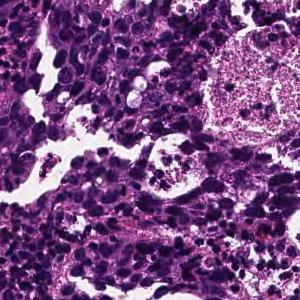
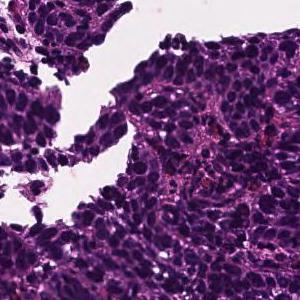
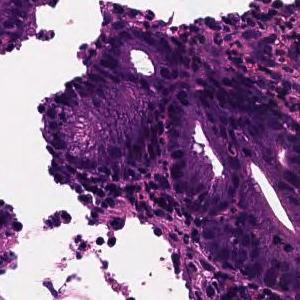
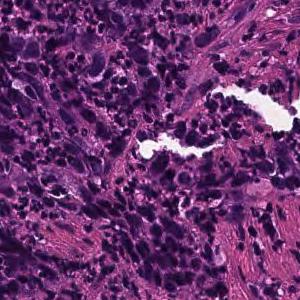
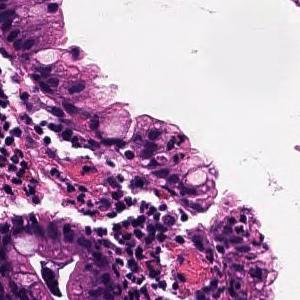
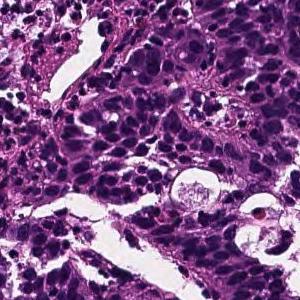
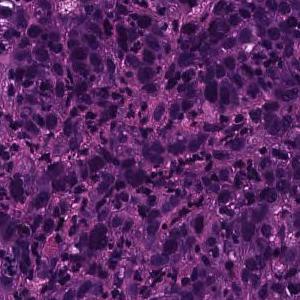
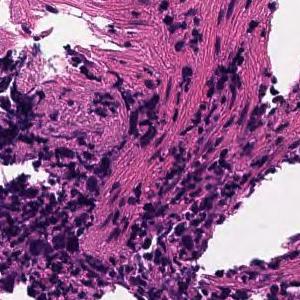
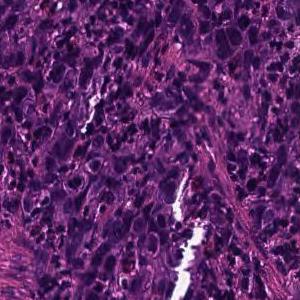
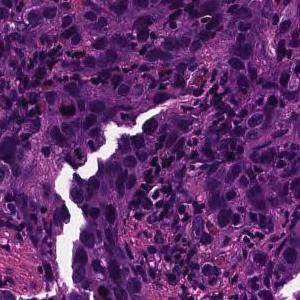
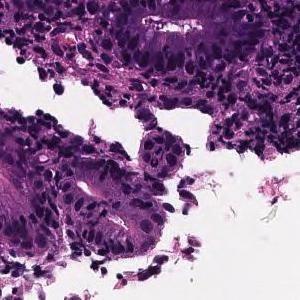
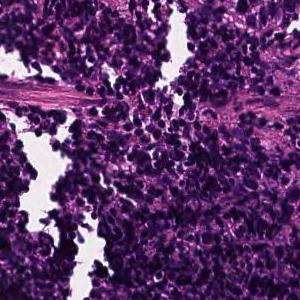
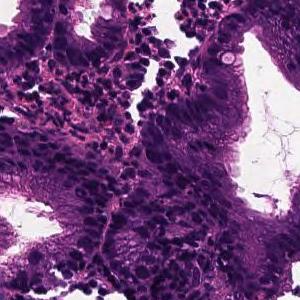
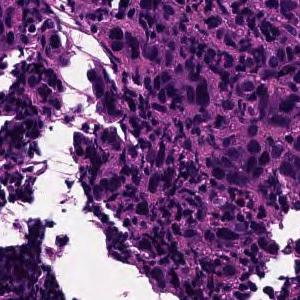
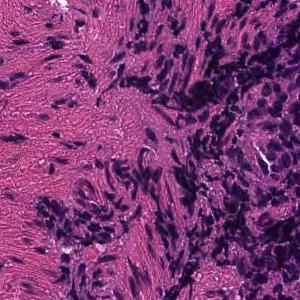
H&E stain, 15 image tiles from a single gastric biopsy slide, 300 × 300 pixels each.
Pathology report for the slide these tiles were cut from. The report describes the whole slide, diagnosis included: not every finding it names need appear in these tiles, which may also show non-tumor tissue.
Tumor tissue consisting of cord-like or small, irregular glandular ducts fused and infiltrated is observed in the superficial epithelium. Poorly differentiated adenocarcinoma, non-solid type
The term "non-solid type" comes from the Japanese Classification of Gastric Carcinoma.
